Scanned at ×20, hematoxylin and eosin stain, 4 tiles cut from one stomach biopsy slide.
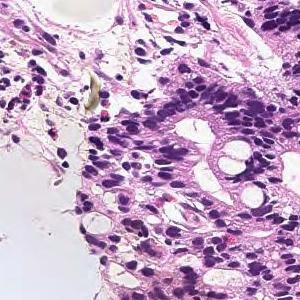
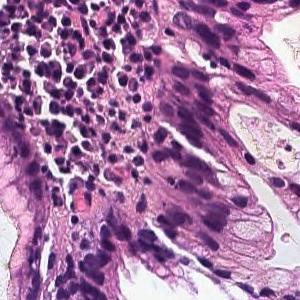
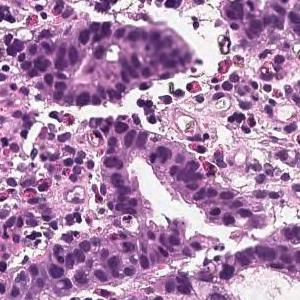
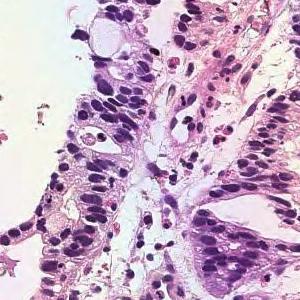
Pathology report for the biopsy slide these tiles were cut from. The report describes the whole slide, diagnosis included: not every finding it names need appear in these tiles, which may also show non-tumor tissue.
In the superficial epithelium, tumor tissue that invades by forming medium-sized to small, irregular ducts is observed. moderately differentiated tubular adenocarcinoma.
